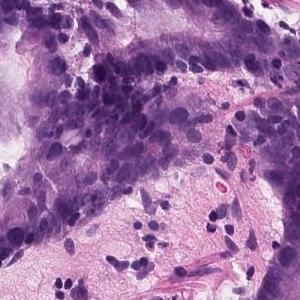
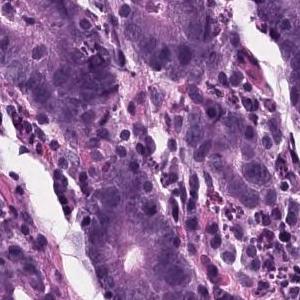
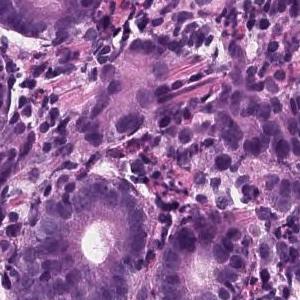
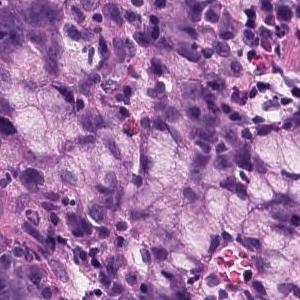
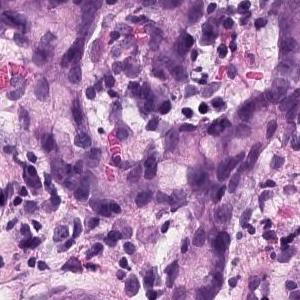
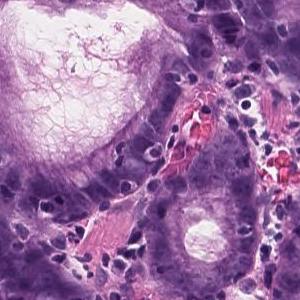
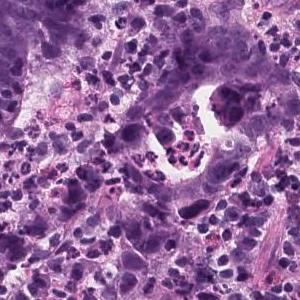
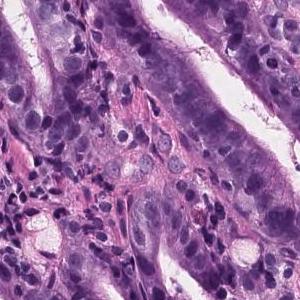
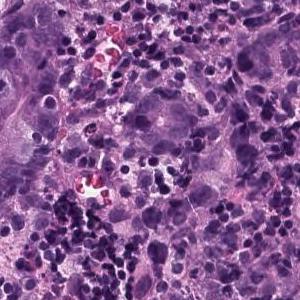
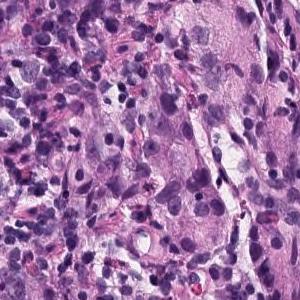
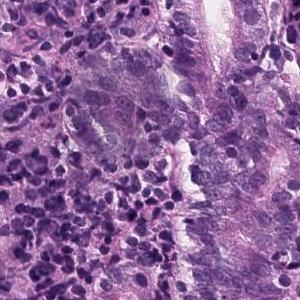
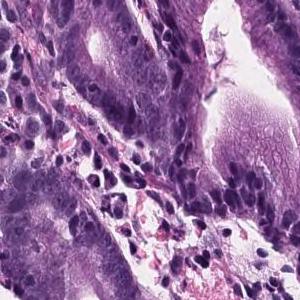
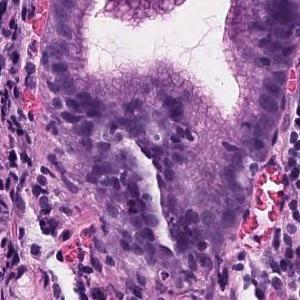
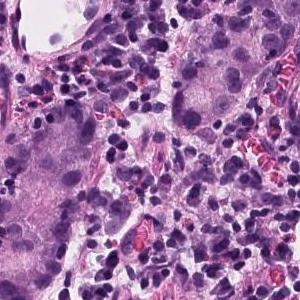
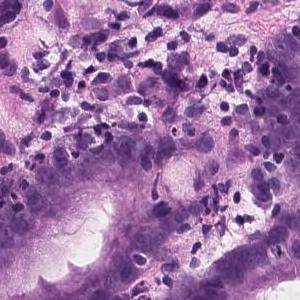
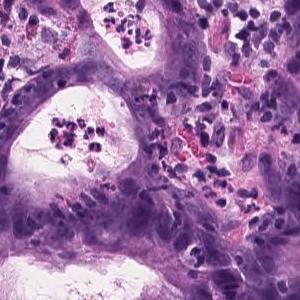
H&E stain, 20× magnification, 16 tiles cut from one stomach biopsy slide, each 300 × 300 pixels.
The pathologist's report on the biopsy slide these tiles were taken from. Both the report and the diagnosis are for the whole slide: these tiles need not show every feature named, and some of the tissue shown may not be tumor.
In the superficial epithelium, tumor tissue that invades by forming medium-sized to small, irregular ducts is observed. Moderately differentiated adenocarcinoma.
Histologic type: Moderately differentiated tubular adenocarcinoma.
